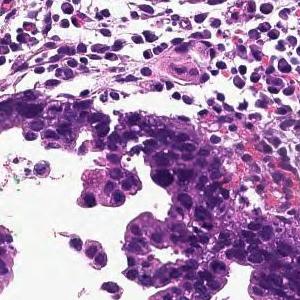
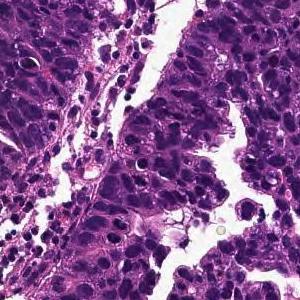
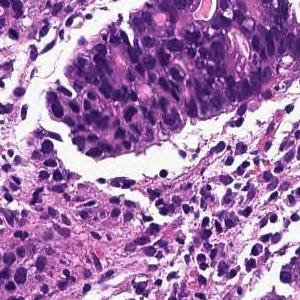
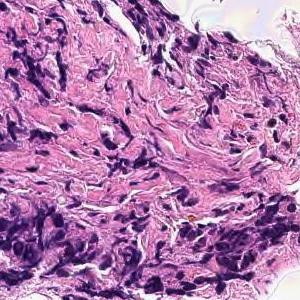
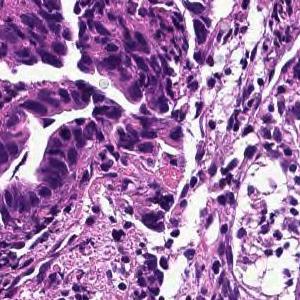
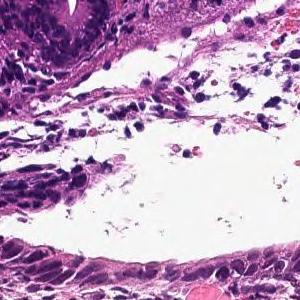
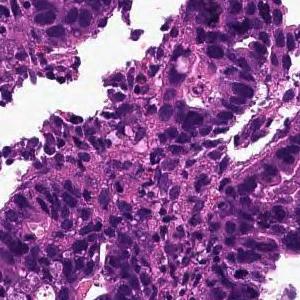
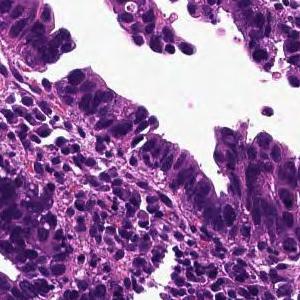
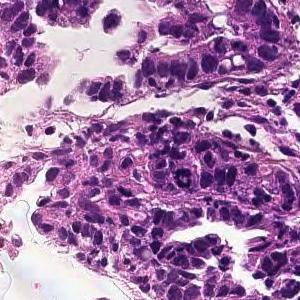
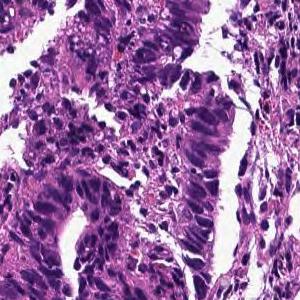
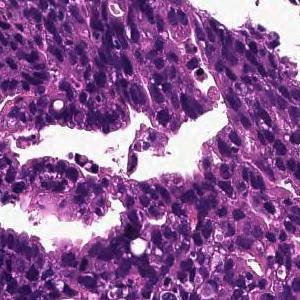
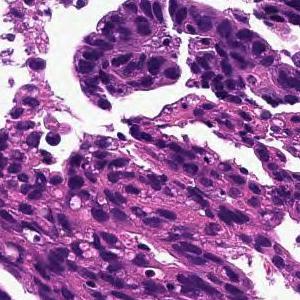
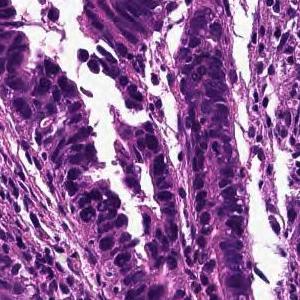
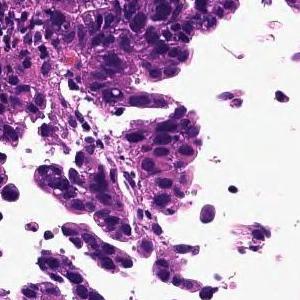
H&E stain; 14 image tiles from a single gastric biopsy slide; 300 × 300 pixels each.
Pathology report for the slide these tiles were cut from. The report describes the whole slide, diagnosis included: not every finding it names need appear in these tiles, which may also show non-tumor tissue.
In the superficial epithelium, tumor tissue that invades by forming medium-sized to small, irregular ducts is observed. moderately differentiated tubular adenocarcinoma.
